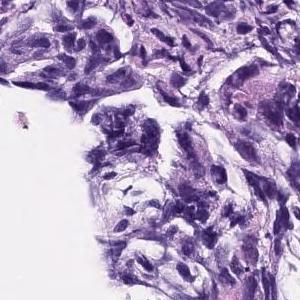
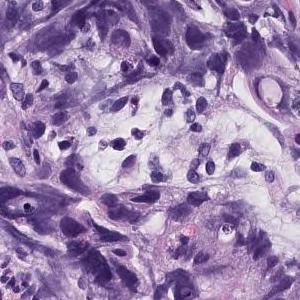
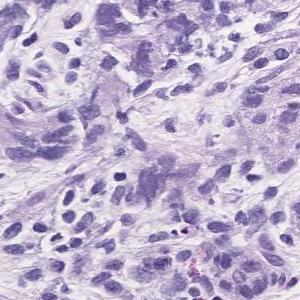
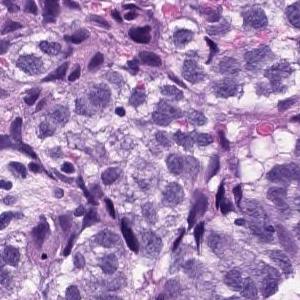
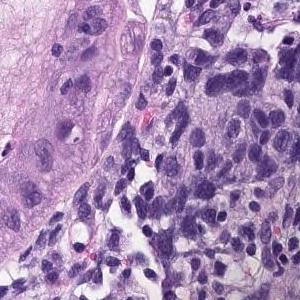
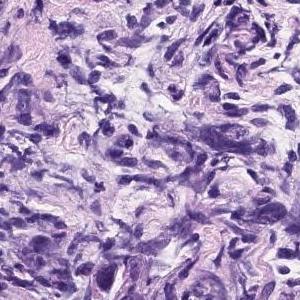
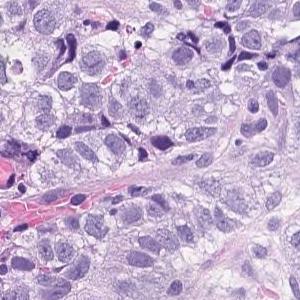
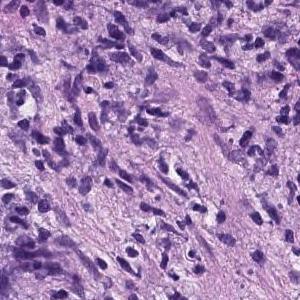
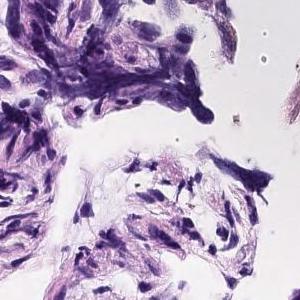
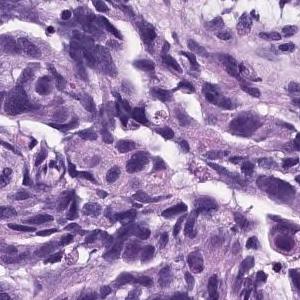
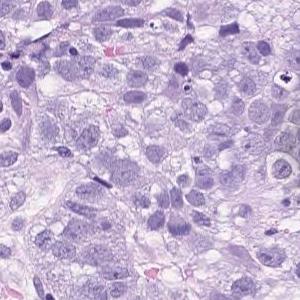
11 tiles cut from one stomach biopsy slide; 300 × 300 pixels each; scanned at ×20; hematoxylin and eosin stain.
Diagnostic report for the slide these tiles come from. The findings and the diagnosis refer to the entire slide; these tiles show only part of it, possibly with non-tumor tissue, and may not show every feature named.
Atypical epithelial cells with an increased N/C ratio proliferate and consist of a part that shows the formation of gland ducts and a part that shows solid growth. Poorly differentiated adenocarcinoma, solid-type
Classified as poorly differentiated adenocarcinoma, solid type (Japanese Classification of Gastric Carcinoma). The WHO 2019 equivalent is tubular adenocarcinoma, poorly differentiated.
